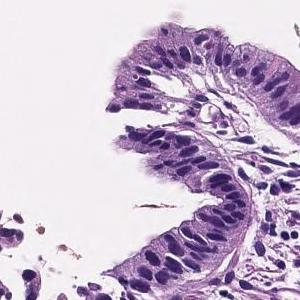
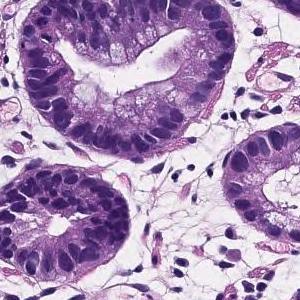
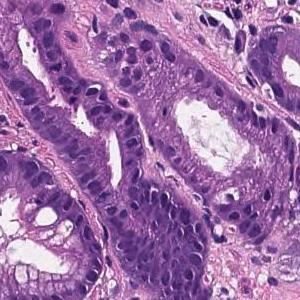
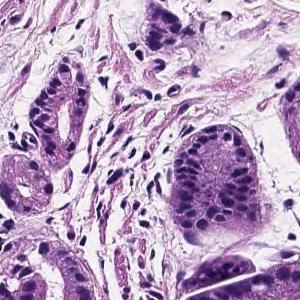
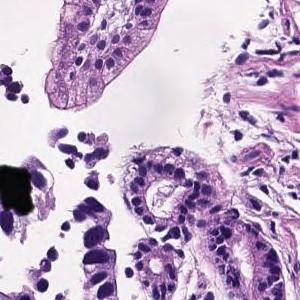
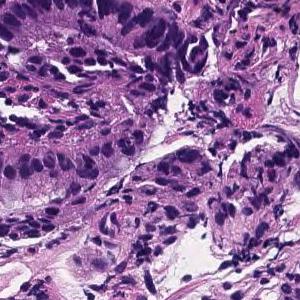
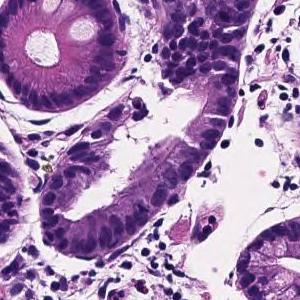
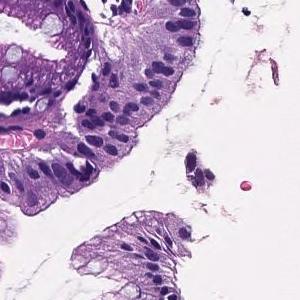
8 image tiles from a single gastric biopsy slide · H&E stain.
Report on the slide these tiles come from. The report describes the whole slide, diagnosis included: not every finding it names need appear in these tiles, which may also show non-tumor tissue.
Tumor cells are large, highly columnar, large club-shaped nuclei, and are associated with chromatin aggregation. Papillary adenocarcinoma.
